8 patches cut from one gastric biopsy slide · 20× magnification · hematoxylin and eosin stain.
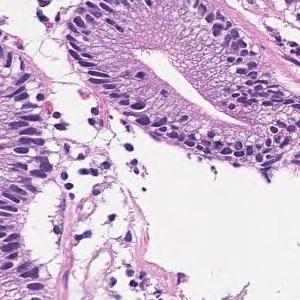
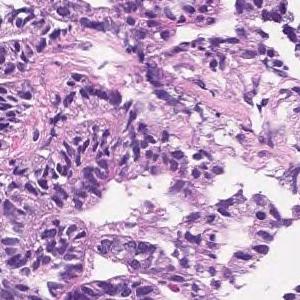
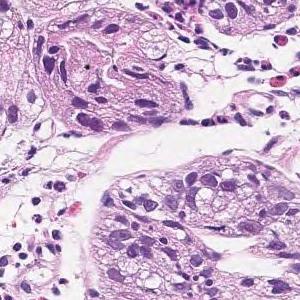
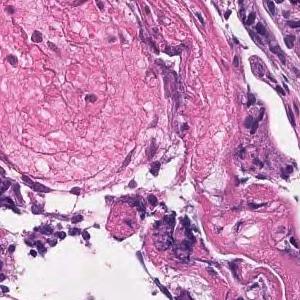
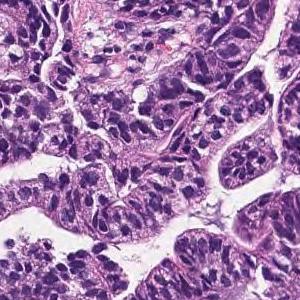
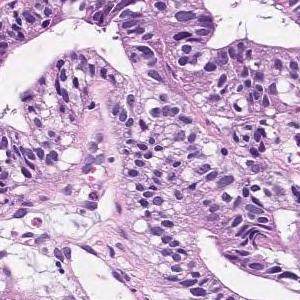
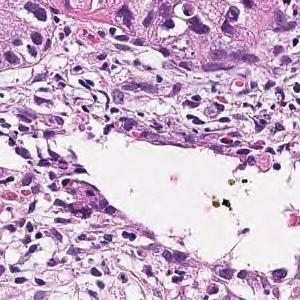
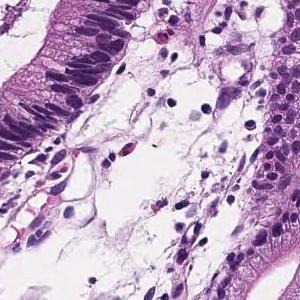
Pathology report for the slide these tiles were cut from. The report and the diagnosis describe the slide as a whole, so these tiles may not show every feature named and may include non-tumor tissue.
In the superficial epithelium, tumor tissue that invades by forming medium-sized to small, irregular ducts is observed. Moderately differentiated adenocarcinoma.
Subtype: Moderately differentiated tubular adenocarcinoma.
